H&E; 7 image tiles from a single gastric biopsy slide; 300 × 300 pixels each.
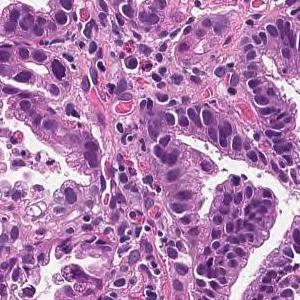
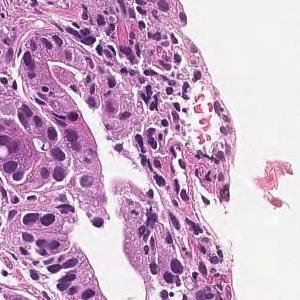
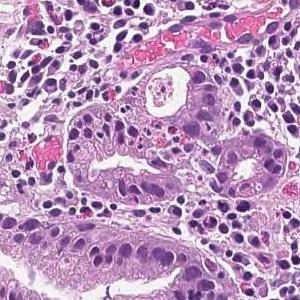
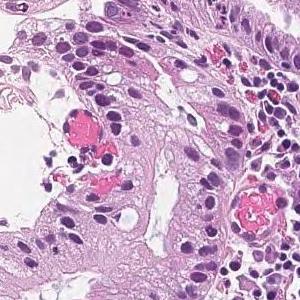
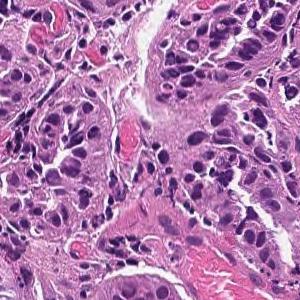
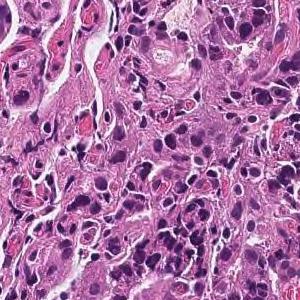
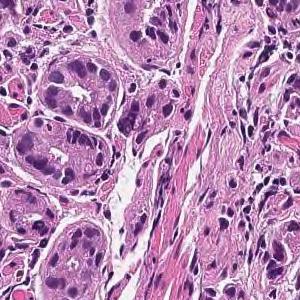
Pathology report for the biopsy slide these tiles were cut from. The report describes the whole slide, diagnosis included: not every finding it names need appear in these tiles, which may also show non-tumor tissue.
On the superficial epithelium, tumor tissue consisting of large irregular glandular ducts partially fused and infiltrated is observed. Well to moderately differentiated tubular adenocarcinoma (well differentiated tubular adenocarcinoma, moderately differentiated tubular adenocarcinoma)
Classified as well to moderately differentiated tubular adenocarcinoma.
